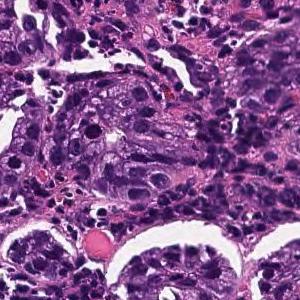
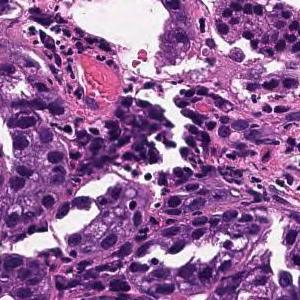
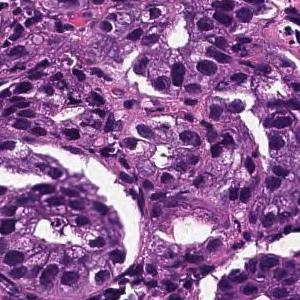
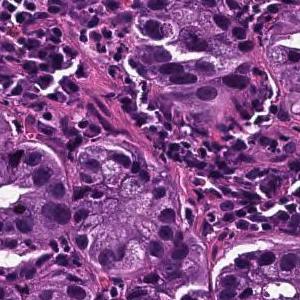
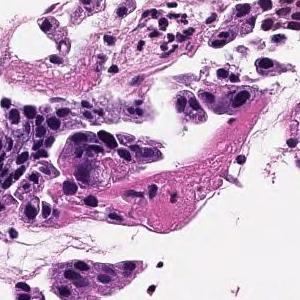
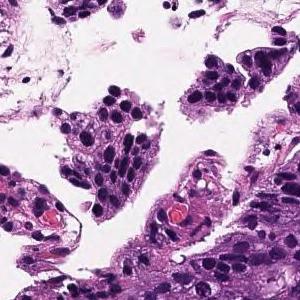
20× magnification, 6 tiles cut from one stomach biopsy slide.
Pathology report for the slide these tiles were cut from. The findings and the diagnosis refer to the entire slide; these tiles show only part of it, possibly with non-tumor tissue, and may not show every feature named.
In the superficial epithelium, tumor tissue that invades by forming medium-sized to small, irregular ducts is observed. moderately differentiated tubular adenocarcinoma.
